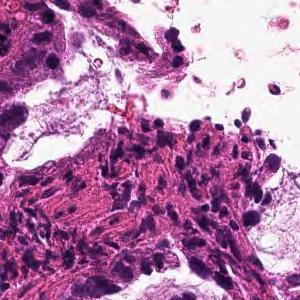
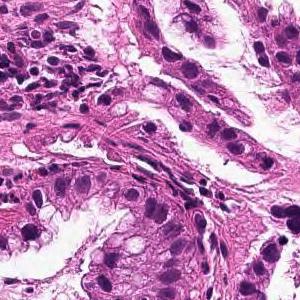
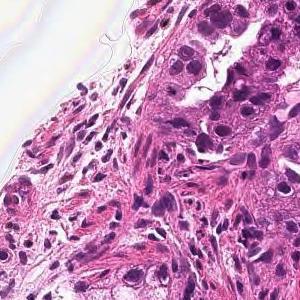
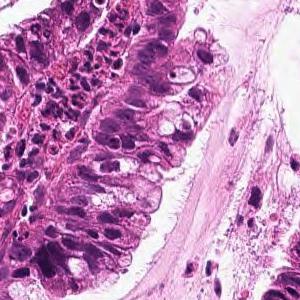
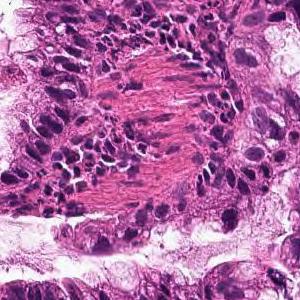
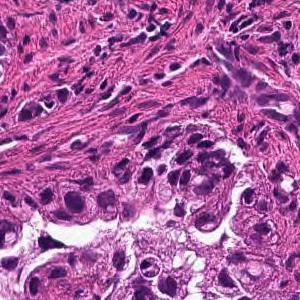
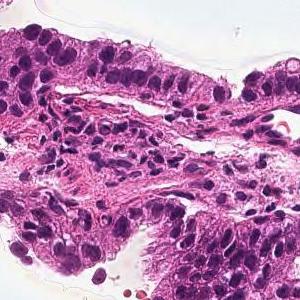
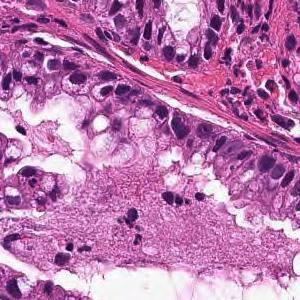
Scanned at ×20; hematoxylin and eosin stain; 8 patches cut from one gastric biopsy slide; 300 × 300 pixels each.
Pathology report for the biopsy slide these tiles were cut from. Both the report and the diagnosis are for the whole slide: these tiles need not show every feature named, and some of the tissue shown may not be tumor.
From the superficial epithelium to the muscularis mucosae, tumor tissue infiltrating by forming medium-sized irregular gland ducts is observed. Well differentiated tubular adenocarcinoma
